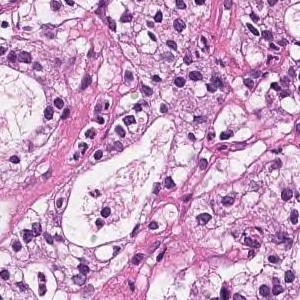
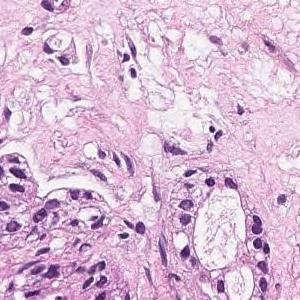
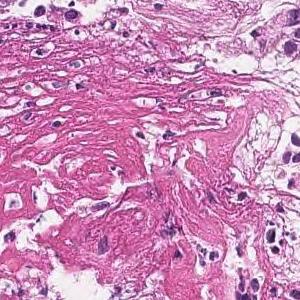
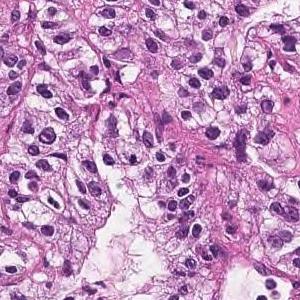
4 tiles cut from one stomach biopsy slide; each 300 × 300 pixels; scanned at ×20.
Pathology report for the biopsy slide these tiles were cut from. Both the report and the diagnosis are for the whole slide: these tiles need not show every feature named, and some of the tissue shown may not be tumor.
In the superficial epithelium, tumor tissue that invades by forming medium-sized to small, irregular ducts is observed. moderately differentiated tubular adenocarcinoma.
